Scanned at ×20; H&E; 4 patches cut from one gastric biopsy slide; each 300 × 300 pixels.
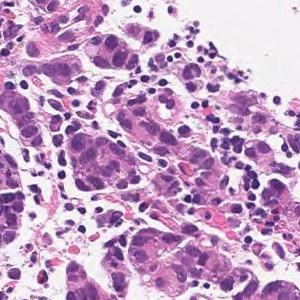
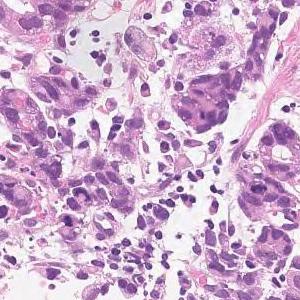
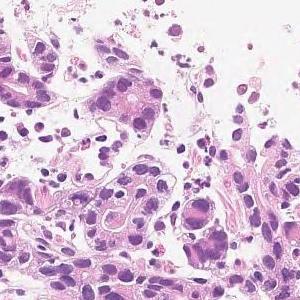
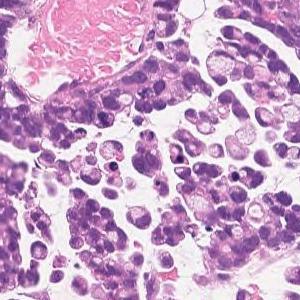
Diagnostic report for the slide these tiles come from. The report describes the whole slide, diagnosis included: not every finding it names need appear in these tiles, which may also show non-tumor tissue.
Medium to small, irregular glandular ducts are formed in the superficial epithelium, and in some cases, the glandular ducts are fused to show solid alveolar lesions and infiltrating tumor tissue is observed. Moderately to poorly differentiated adenocarcinoma.
